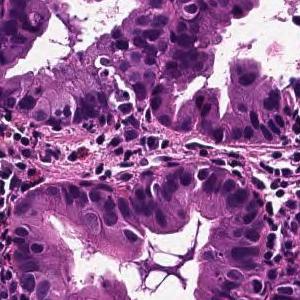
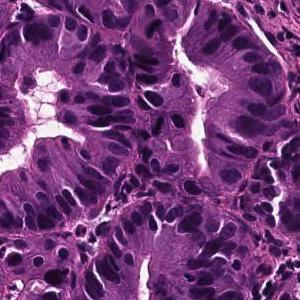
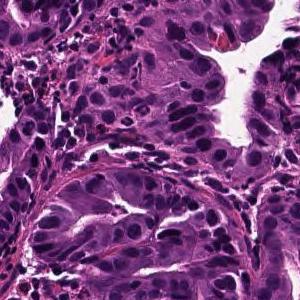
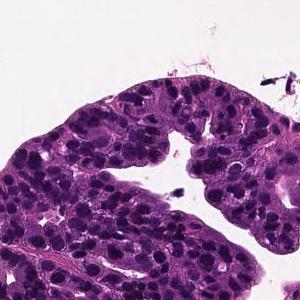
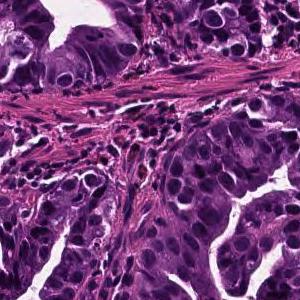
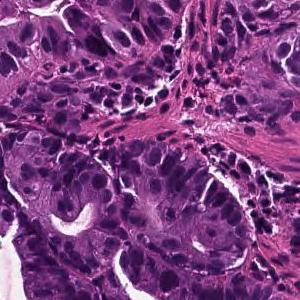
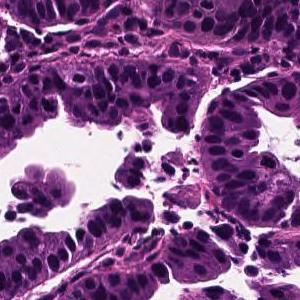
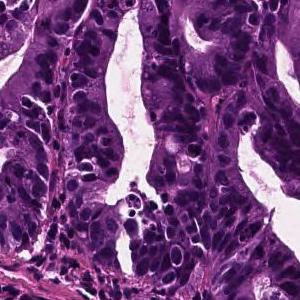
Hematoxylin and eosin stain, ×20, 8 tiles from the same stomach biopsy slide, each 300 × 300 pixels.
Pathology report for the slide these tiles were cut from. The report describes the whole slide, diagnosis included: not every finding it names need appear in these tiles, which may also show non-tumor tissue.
Tumor cells are large, highly columnar, large club-shaped nuclei, and are associated with chromatin aggregation. Papillary adenocarcinoma.
